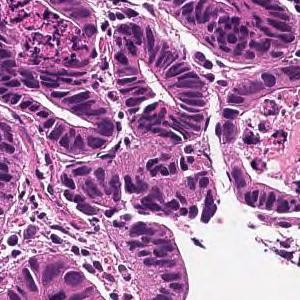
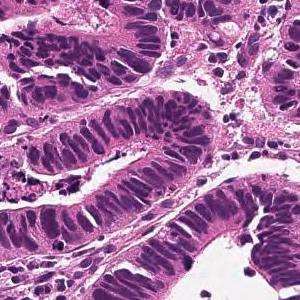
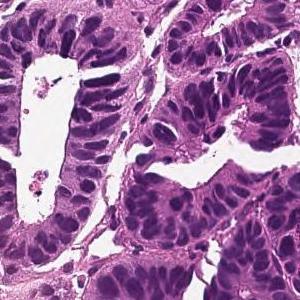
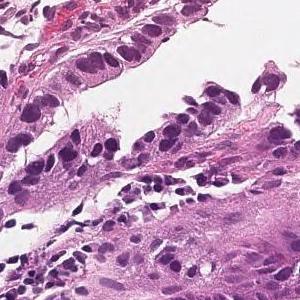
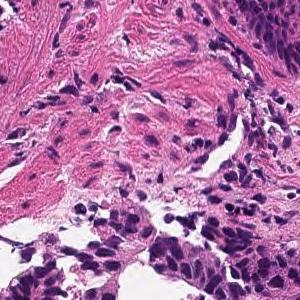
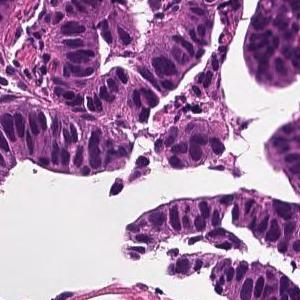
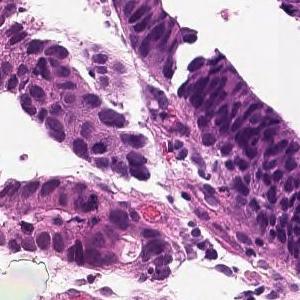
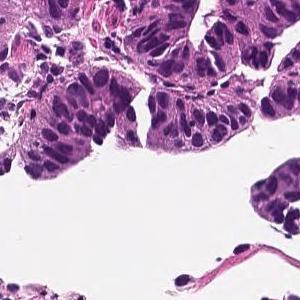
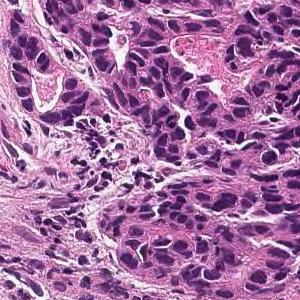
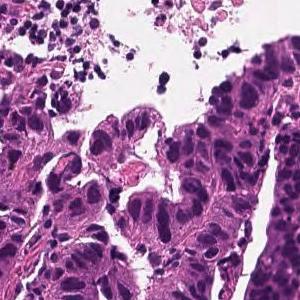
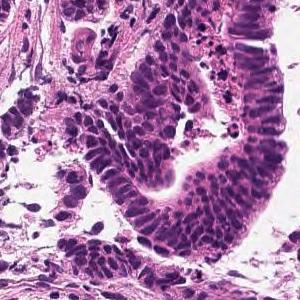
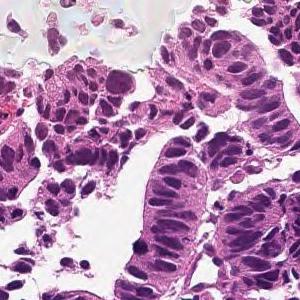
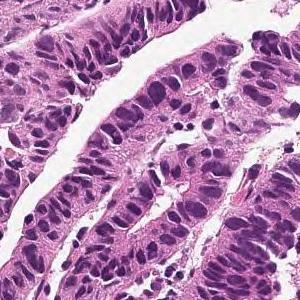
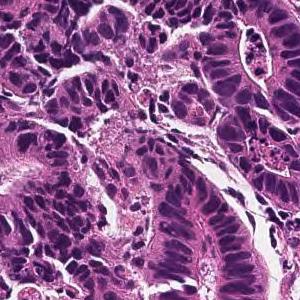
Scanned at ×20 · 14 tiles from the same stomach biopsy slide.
Pathology report for the biopsy slide these tiles were cut from. Both the report and the diagnosis are for the whole slide: these tiles need not show every feature named, and some of the tissue shown may not be tumor.
From the superficial epithelium to the muscularis mucosae, tumor tissue consisting of medium-sized and irregular glandular ducts infiltrating is observed. Well differentiated tubular adenocarcinoma
